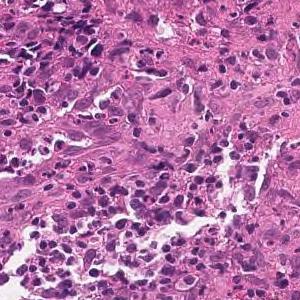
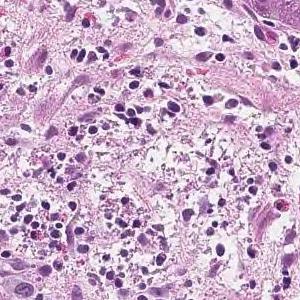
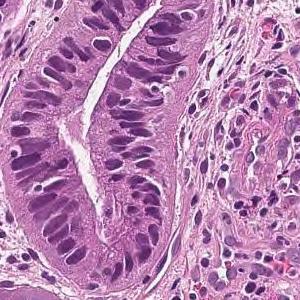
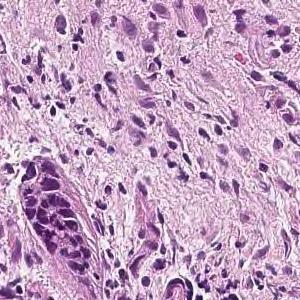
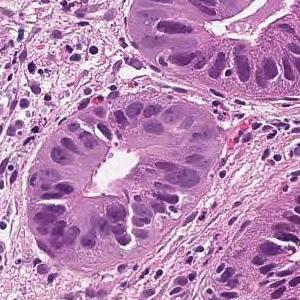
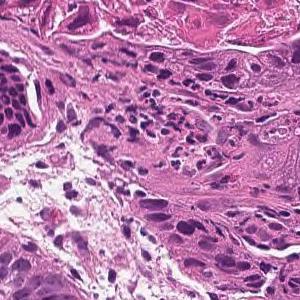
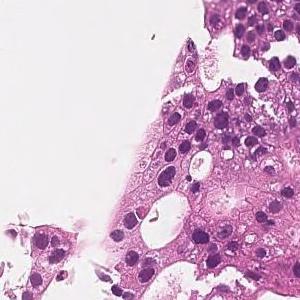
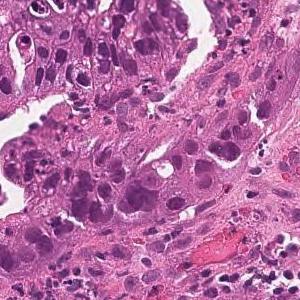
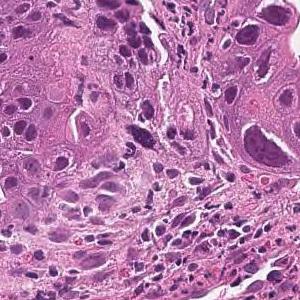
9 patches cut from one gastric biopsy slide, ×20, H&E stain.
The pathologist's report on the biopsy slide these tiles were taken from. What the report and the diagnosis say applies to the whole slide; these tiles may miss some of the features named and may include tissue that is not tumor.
In the superficial epithelium, tumor tissue that invades by forming medium-sized to small, irregular ducts is observed. moderately differentiated tubular adenocarcinoma.
